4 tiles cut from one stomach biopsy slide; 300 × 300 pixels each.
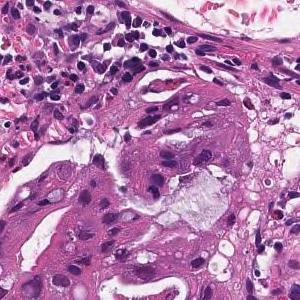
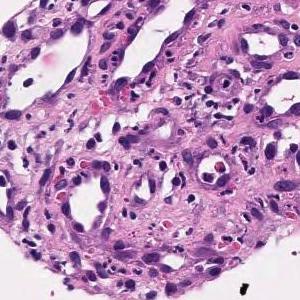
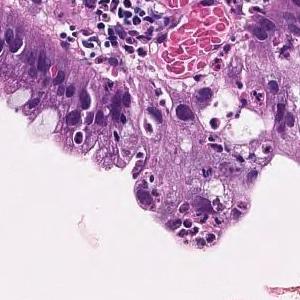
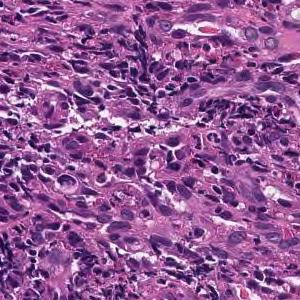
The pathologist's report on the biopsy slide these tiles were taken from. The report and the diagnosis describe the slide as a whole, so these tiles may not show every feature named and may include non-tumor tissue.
In the superficial epithelium, tumor tissue that invades by forming medium-sized to small, irregular ducts is observed. moderately differentiated tubular adenocarcinoma.
